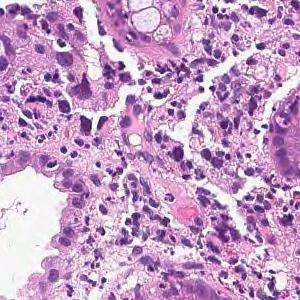
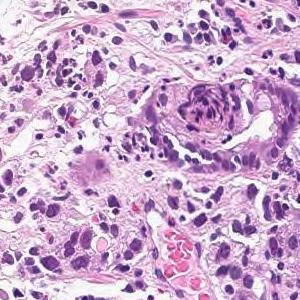
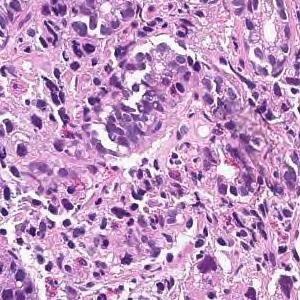
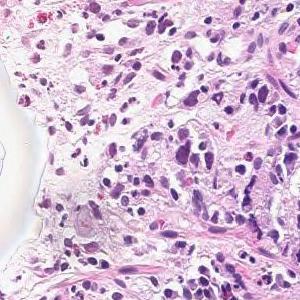
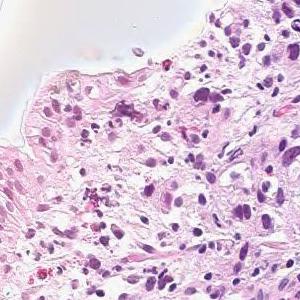
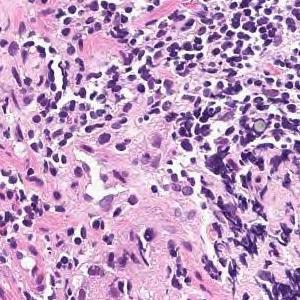
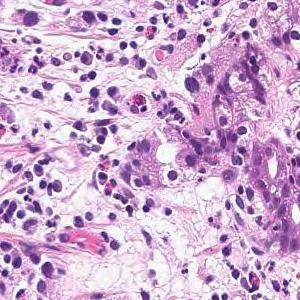
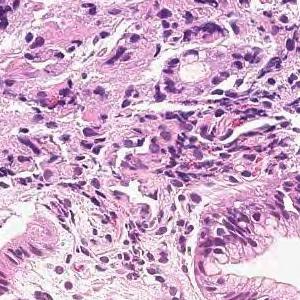
8 tiles cut from one stomach biopsy slide · each 300 × 300 pixels · ×20 · hematoxylin and eosin stain.
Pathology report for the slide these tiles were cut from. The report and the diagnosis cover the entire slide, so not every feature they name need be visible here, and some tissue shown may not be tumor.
Tumor tissue consisting of medium-sized, cord-like or irregular glandular infiltration is observed in the superficial epithelium. Poorly differentiated adenocarcinoma, non-solid type or moderately differentiated tubular adenocarcinoma (moderately differentiated tubular adenocarcinoma)
The dataset labels this slide moderately differentiated tubular adenocarcinoma.
The term "non-solid type" comes from the Japanese Classification of Gastric Carcinoma.
